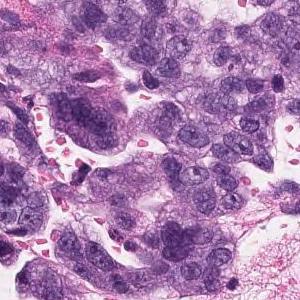
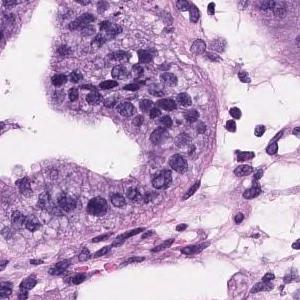
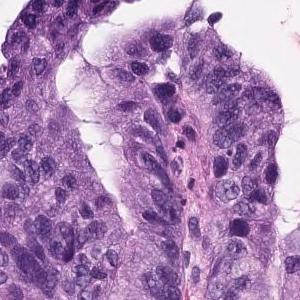
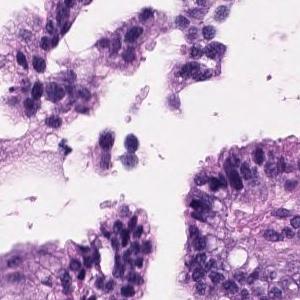
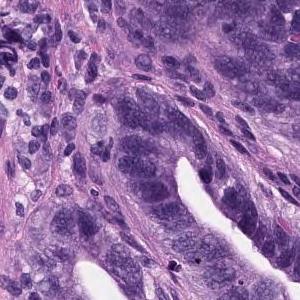
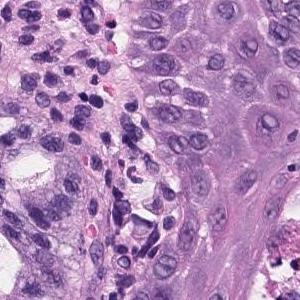
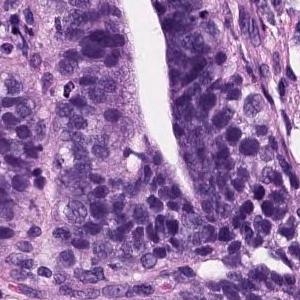
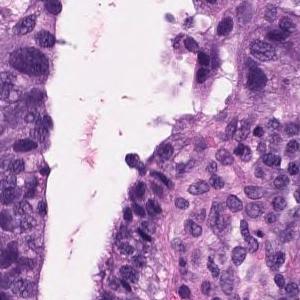
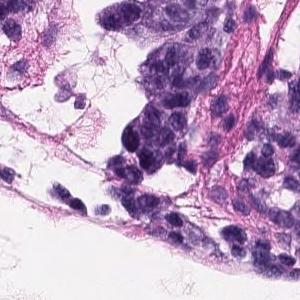
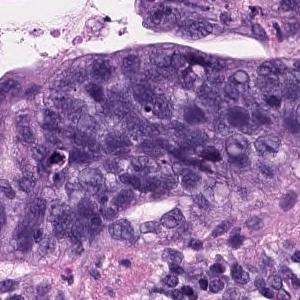
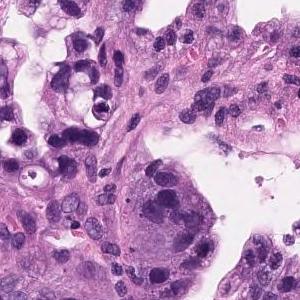
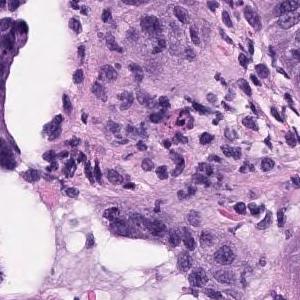
Scanned at ×20 · 12 patches cut from one gastric biopsy slide · each 300 × 300 pixels.
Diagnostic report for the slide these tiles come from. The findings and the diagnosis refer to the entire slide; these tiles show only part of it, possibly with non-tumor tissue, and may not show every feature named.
Tumor cells are large, highly columnar, large club-shaped nuclei, and are associated with chromatin aggregation. Papillary adenocarcinoma.
